H&E stain; ×20; 14 tiles cut from one stomach biopsy slide; each 300 × 300 pixels.
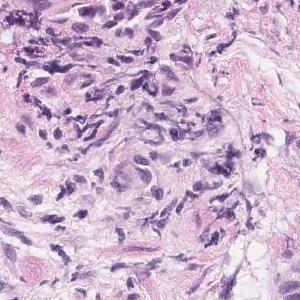
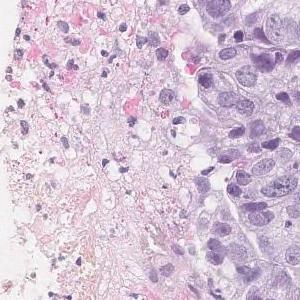
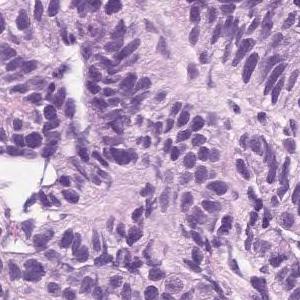
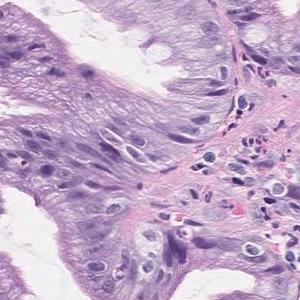
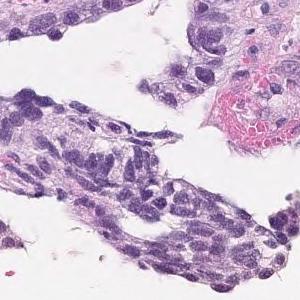
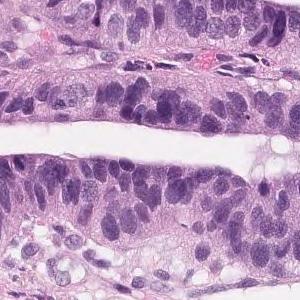
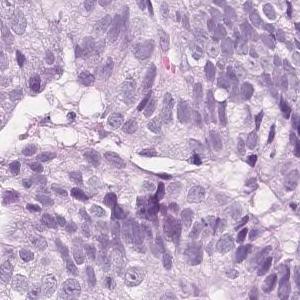
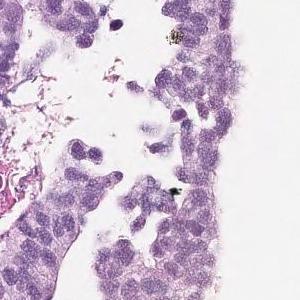
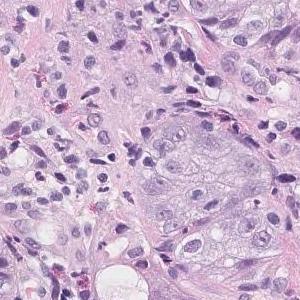
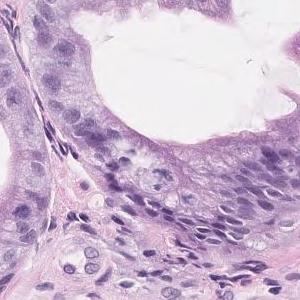
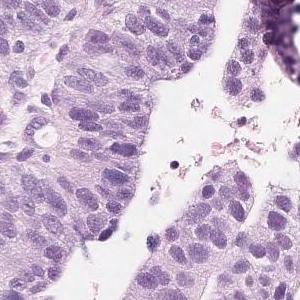
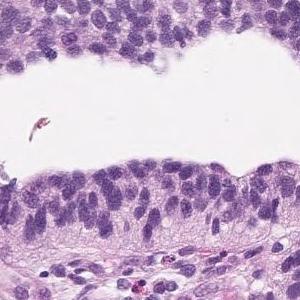
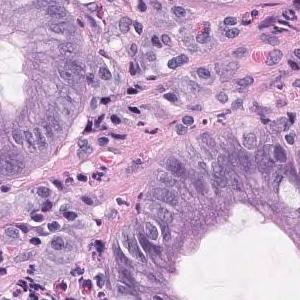
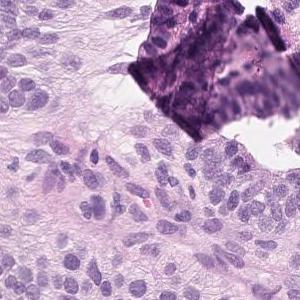
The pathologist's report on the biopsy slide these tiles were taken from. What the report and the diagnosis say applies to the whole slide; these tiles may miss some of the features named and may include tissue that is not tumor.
Tumor tissue in which highly columnar atypical epithelial cells with nuclear enlargement and increased nuclear chromatin show papillary to papillary ductal structure and proliferate is observed. Papillary adenocarcinoma.
